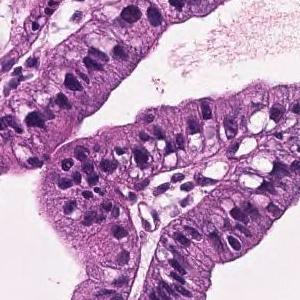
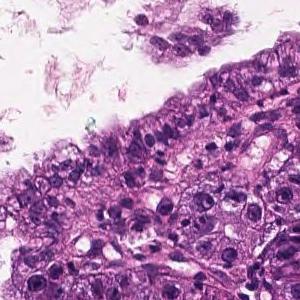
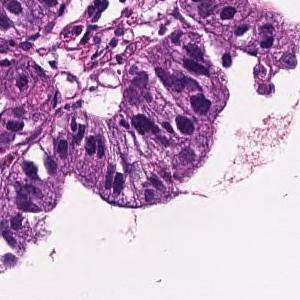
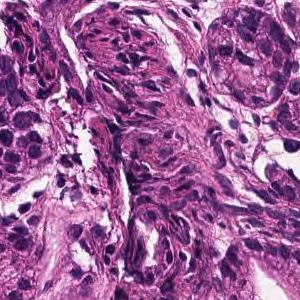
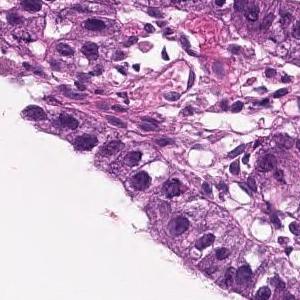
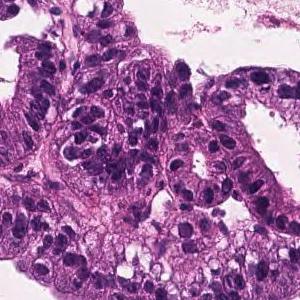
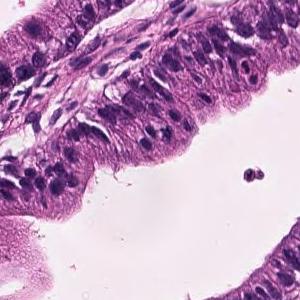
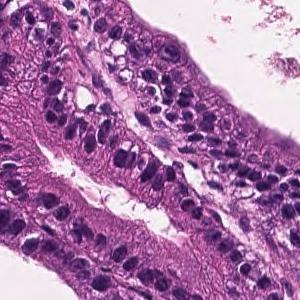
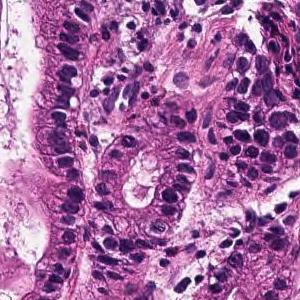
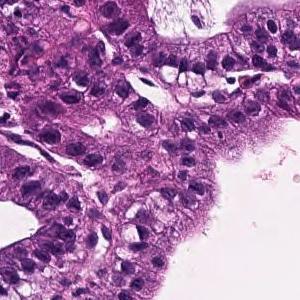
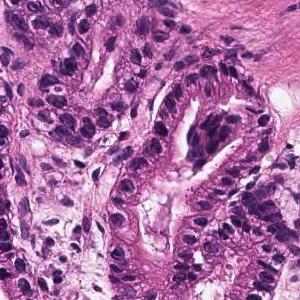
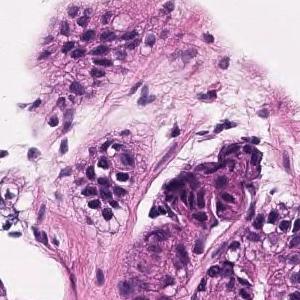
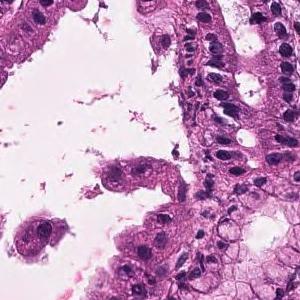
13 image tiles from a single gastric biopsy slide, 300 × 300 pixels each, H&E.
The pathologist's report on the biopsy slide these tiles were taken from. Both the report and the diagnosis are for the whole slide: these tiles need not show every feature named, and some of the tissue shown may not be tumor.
On the superficial epithelium, tumor tissue that infiltrates by forming medium-sized papillary or small irregular ducts is observed. Papillary adenocarcinoma
